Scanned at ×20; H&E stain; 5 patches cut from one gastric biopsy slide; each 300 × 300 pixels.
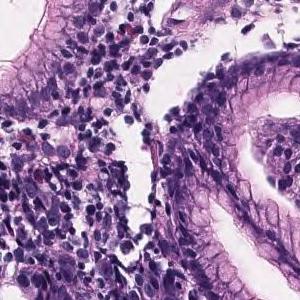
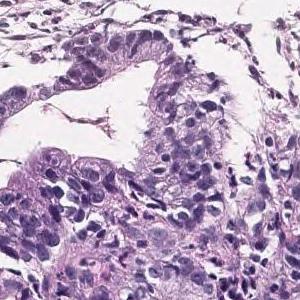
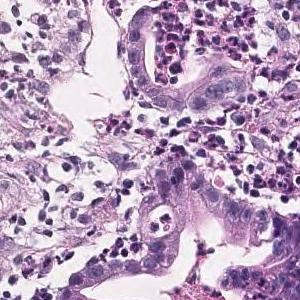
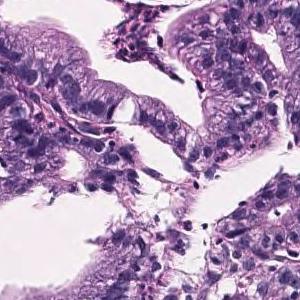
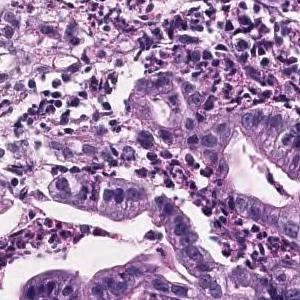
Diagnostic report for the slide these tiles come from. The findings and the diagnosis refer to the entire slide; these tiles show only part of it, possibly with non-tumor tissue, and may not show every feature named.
Tumor tissue in which highly columnar atypical epithelial cells with nuclear enlargement and increased nuclear chromatin show papillary to papillary ductal structure and proliferate is observed. Papillary adenocarcinoma.
